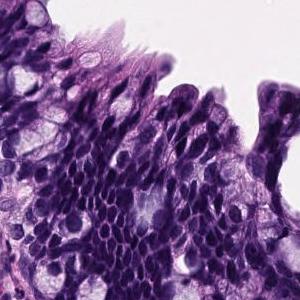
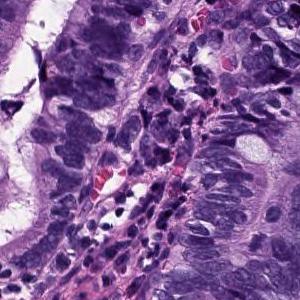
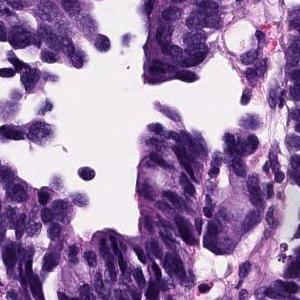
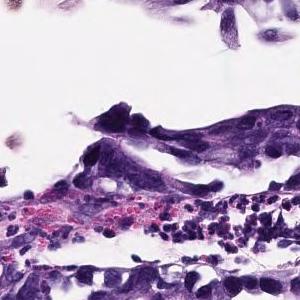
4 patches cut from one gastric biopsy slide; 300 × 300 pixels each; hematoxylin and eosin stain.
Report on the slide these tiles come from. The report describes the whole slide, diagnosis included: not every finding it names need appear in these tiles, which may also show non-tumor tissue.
Atypical epithelium proliferating showing villus construction and irregular gland duct construction is observed. Moderately differentiated tubular adenocarcinoma.
